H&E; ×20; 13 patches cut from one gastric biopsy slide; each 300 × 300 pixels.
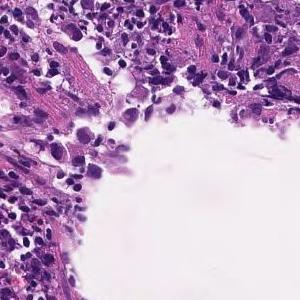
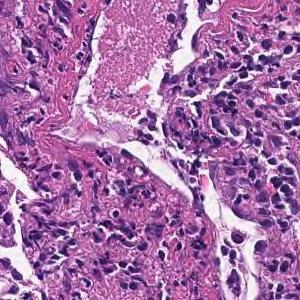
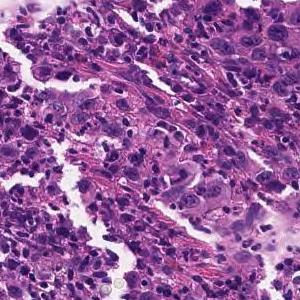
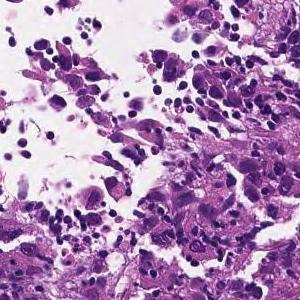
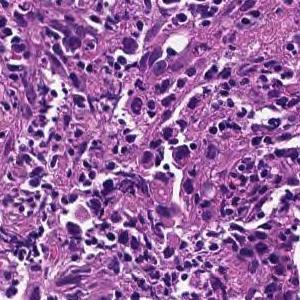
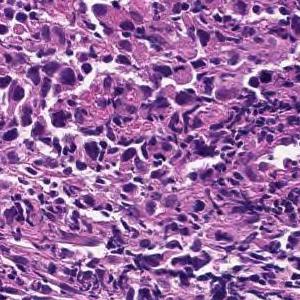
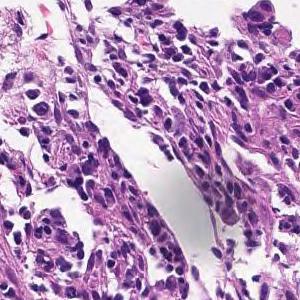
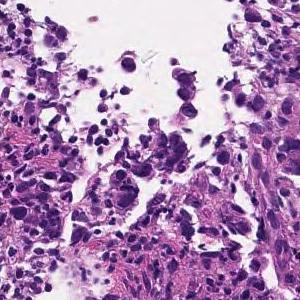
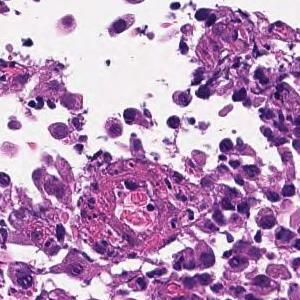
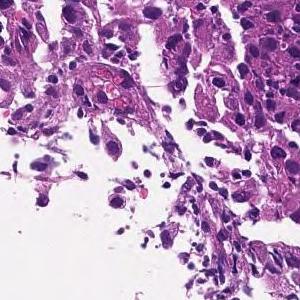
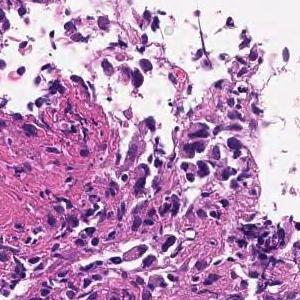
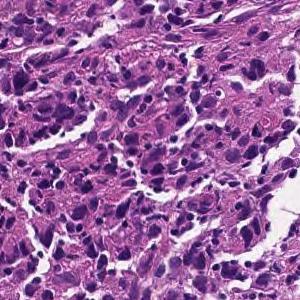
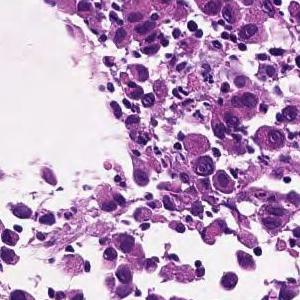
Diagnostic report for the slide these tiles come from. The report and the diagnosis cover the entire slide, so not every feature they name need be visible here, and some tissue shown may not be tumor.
The superficial epithelium shows a large sheet-like shape, and some tumor tissue infiltrates with small irregular ducts. Poorly differentiated adenocarcinoma, solid-type (poorly differentiated adenocarcinoma, solid type)
Classified as poorly differentiated adenocarcinoma, solid type (Japanese Classification of Gastric Carcinoma). The WHO 2019 equivalent is tubular adenocarcinoma, poorly differentiated.
